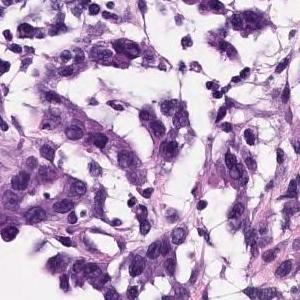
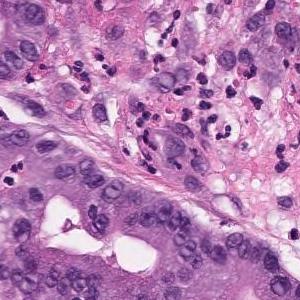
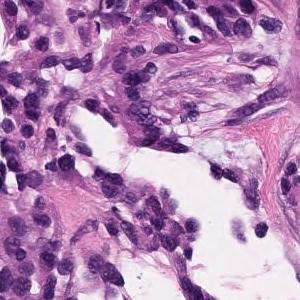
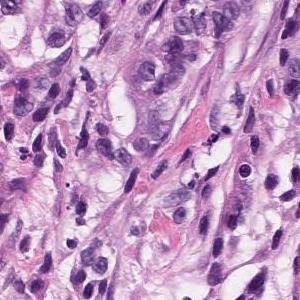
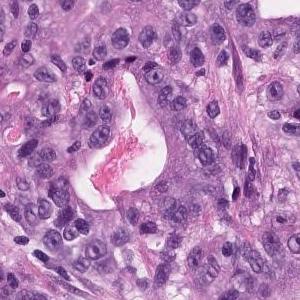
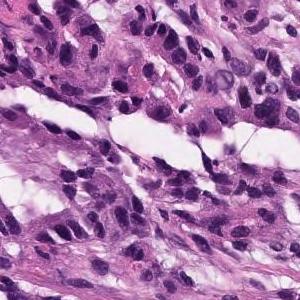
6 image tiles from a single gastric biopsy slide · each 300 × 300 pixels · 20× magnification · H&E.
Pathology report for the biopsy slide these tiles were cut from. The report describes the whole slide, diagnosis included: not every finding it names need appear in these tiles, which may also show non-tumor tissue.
In the superficial epithelium, tumor tissue that invades by forming medium-sized to small, irregular ducts is observed. Moderately differentiated adenocarcinoma.
Subtype: Moderately differentiated tubular adenocarcinoma.
